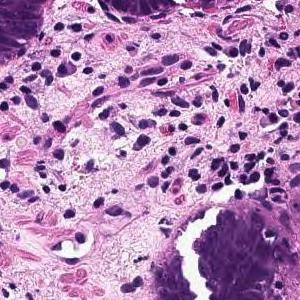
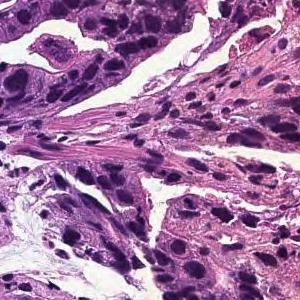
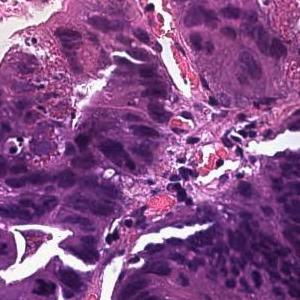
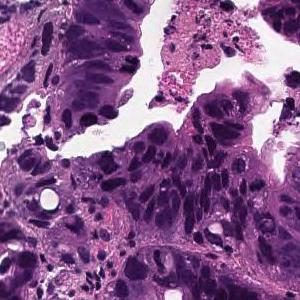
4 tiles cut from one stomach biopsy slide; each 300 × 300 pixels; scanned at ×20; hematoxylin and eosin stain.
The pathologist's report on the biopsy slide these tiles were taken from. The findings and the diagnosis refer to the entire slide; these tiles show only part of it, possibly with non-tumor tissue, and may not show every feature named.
In the superficial epithelium, tumor tissue that invades by forming medium-sized to small, irregular ducts is observed. moderately differentiated tubular adenocarcinoma.
